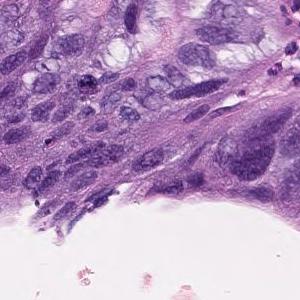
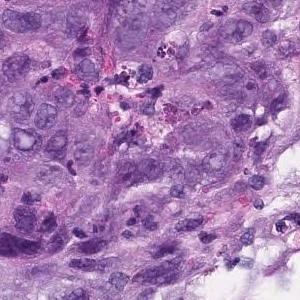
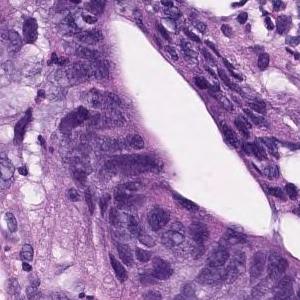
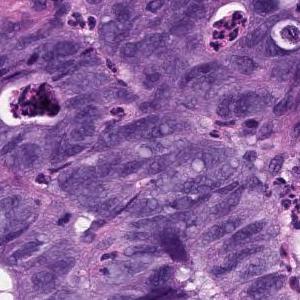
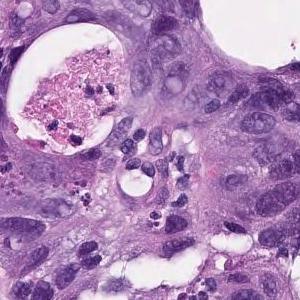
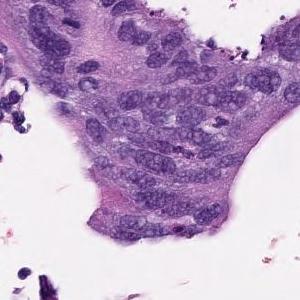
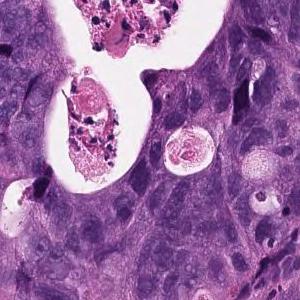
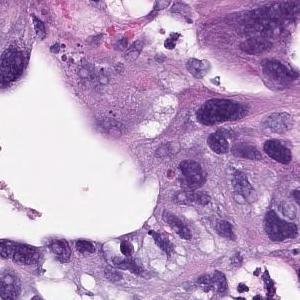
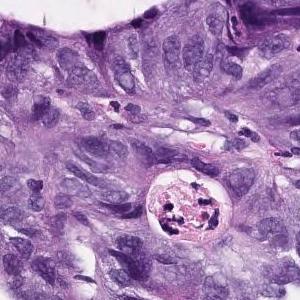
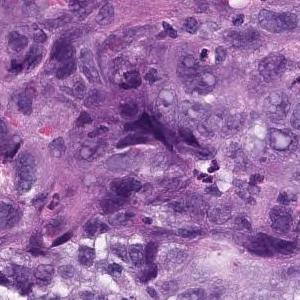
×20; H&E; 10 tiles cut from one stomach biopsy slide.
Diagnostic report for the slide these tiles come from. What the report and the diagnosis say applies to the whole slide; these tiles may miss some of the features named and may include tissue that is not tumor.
In the superficial epithelium, tumor tissue that invades by forming medium-sized to small, irregular ducts is observed. Moderately differentiated adenocarcinoma.
Classified as moderately differentiated tubular adenocarcinoma.
